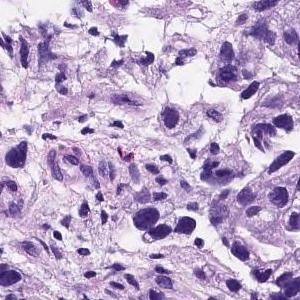
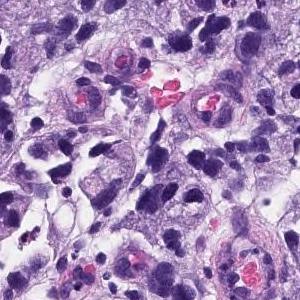
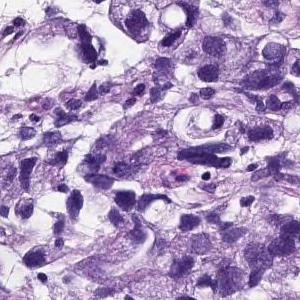
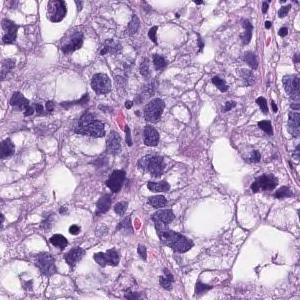
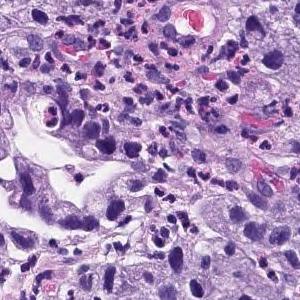
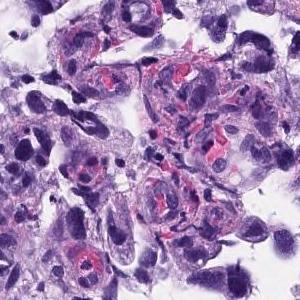
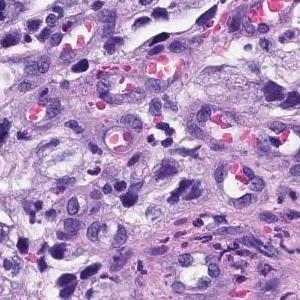
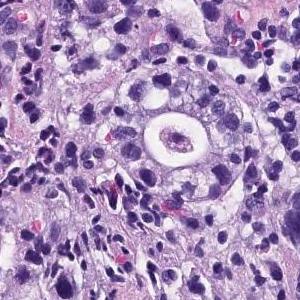
8 image tiles from a single gastric biopsy slide, 300×300 px each, H&E, ×20.
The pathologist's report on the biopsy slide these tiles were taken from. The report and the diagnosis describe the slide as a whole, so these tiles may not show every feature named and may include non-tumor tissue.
Medium to small, irregular glandular ducts are formed in the superficial epithelium, and in some cases, the glandular ducts are fused to show solid alveolar lesions and infiltrating tumor tissue is observed. Poorly differentiated adenocarcinoma, Moderately differentiated adenocarcinoma.
The dataset labels this slide moderately differentiated tubular adenocarcinoma.
